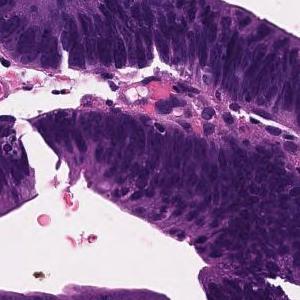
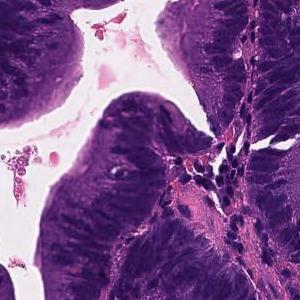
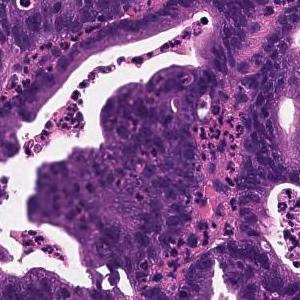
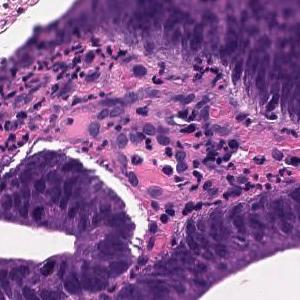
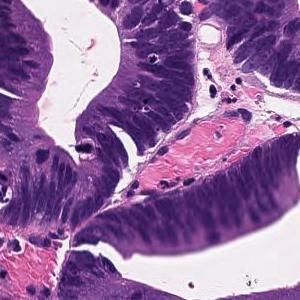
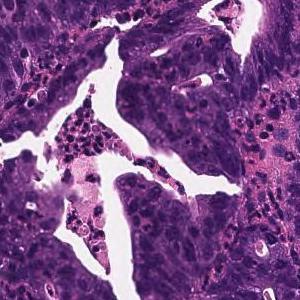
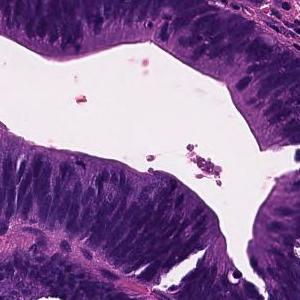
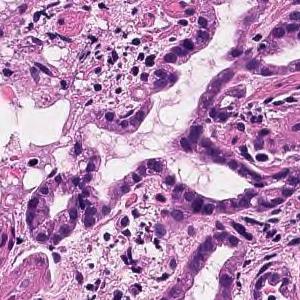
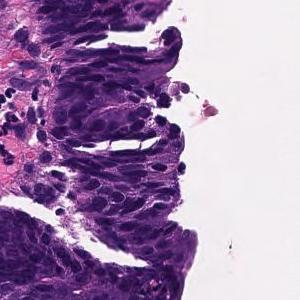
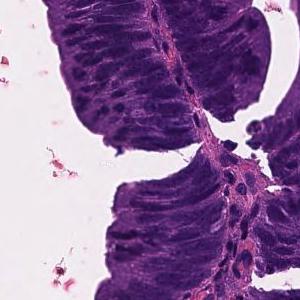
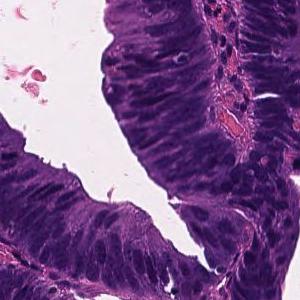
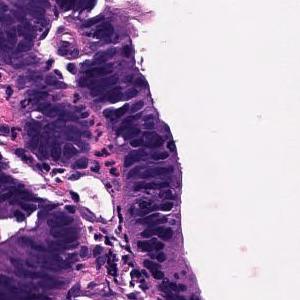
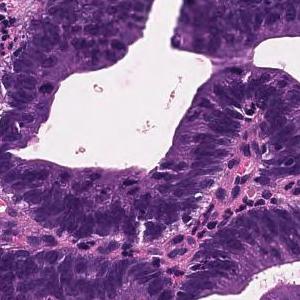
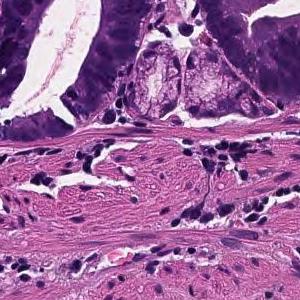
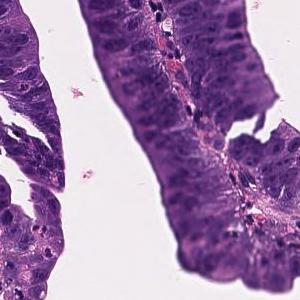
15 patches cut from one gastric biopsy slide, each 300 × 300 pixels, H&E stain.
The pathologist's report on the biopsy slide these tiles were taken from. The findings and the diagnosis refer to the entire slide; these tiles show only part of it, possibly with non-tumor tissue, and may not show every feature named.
Tumor tissue consisting of large papillary structures is found in the superficial epithelium. Papillary adenocarcinoma.
